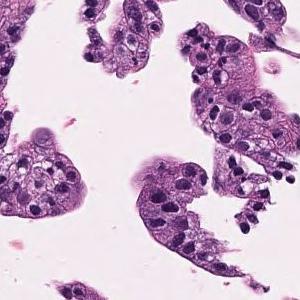
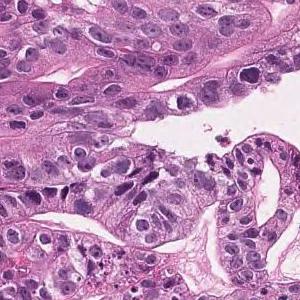
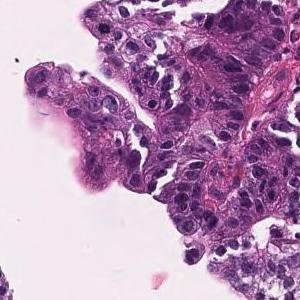
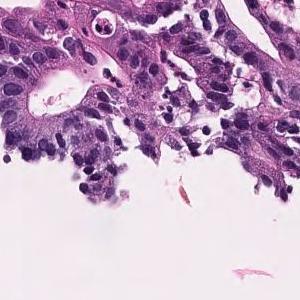
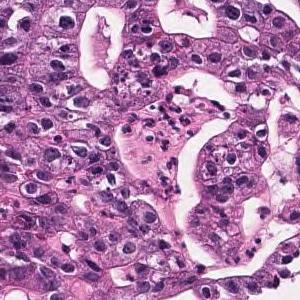
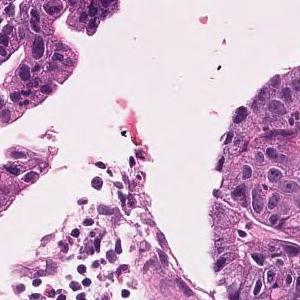
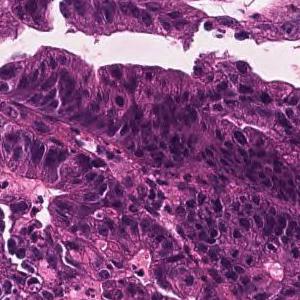
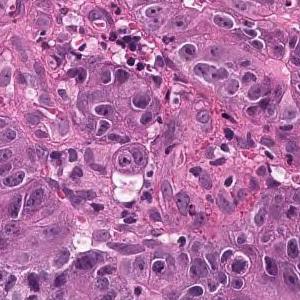
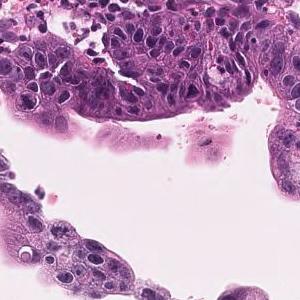
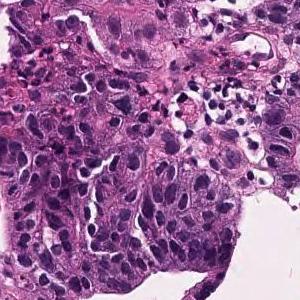
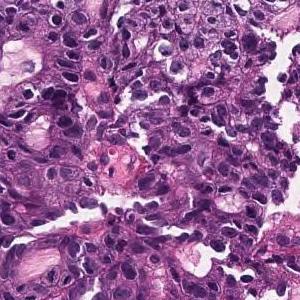
H&E stain · 11 patches cut from one gastric biopsy slide · 300 × 300 pixels each.
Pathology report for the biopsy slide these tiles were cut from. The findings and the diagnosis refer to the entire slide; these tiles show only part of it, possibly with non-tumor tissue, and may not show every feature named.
In the superficial epithelium, tumor tissue that invades by forming medium-sized to small, irregular ducts is observed. Well differentiated tubular adenocarcinoma.
